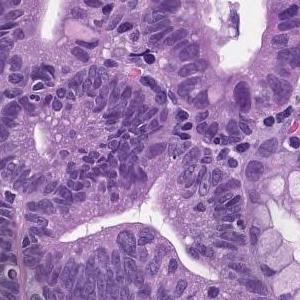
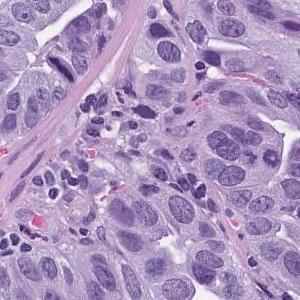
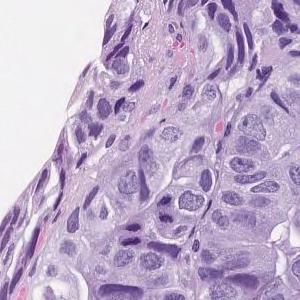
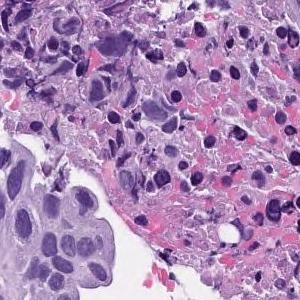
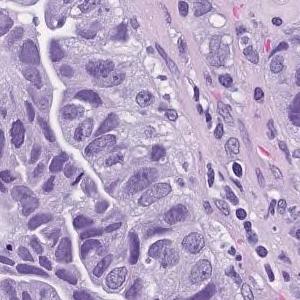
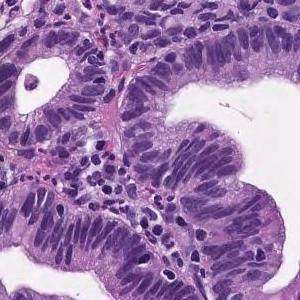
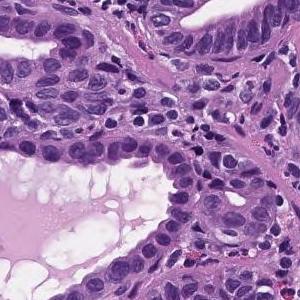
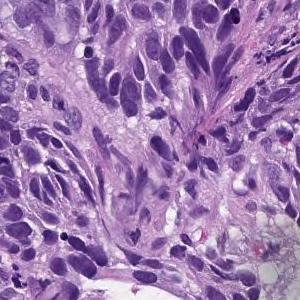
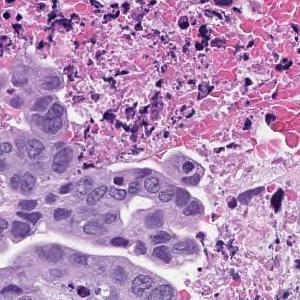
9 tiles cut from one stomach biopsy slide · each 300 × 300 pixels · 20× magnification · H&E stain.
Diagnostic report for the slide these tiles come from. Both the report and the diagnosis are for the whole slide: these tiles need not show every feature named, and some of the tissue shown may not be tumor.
In the superficial epithelium, tumor tissue that invades by forming medium-sized to small, irregular ducts is observed. moderately differentiated tubular adenocarcinoma.
